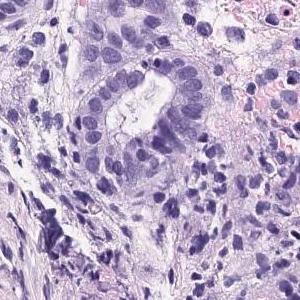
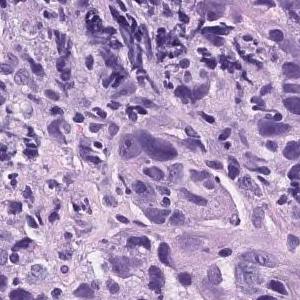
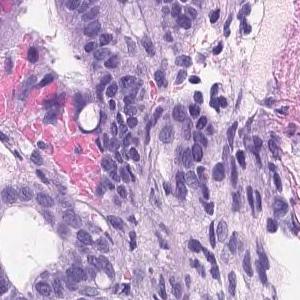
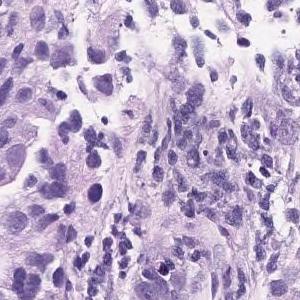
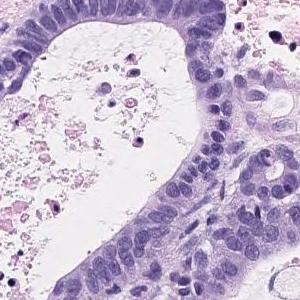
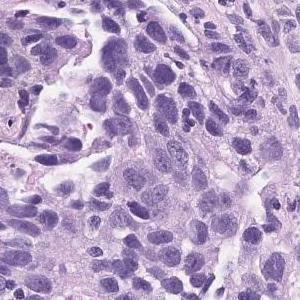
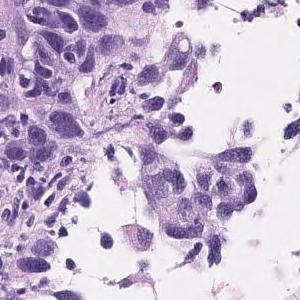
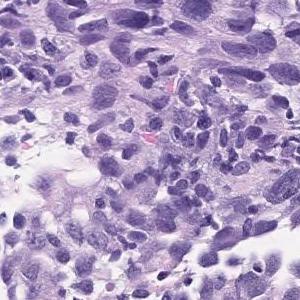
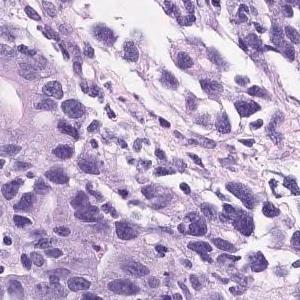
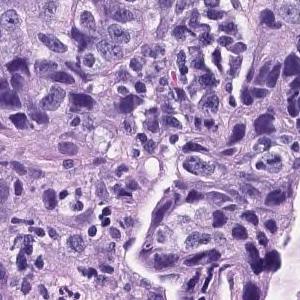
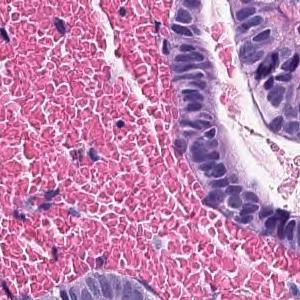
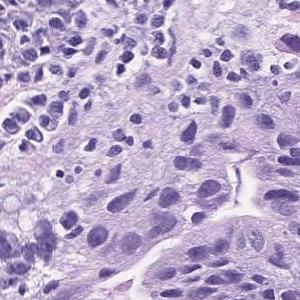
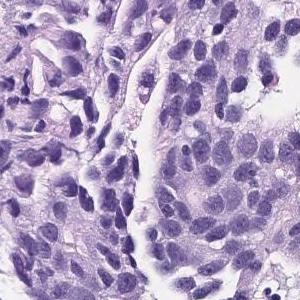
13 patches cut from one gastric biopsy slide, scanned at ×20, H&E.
Report on the slide these tiles come from. The report and the diagnosis cover the entire slide, so not every feature they name need be visible here, and some tissue shown may not be tumor.
The superficial epithelium shows a large sheet-like shape, and some tumor tissue infiltrates with small irregular ducts. Poorly differentiated adenocarcinoma, solid-type
Histological subtype: Poorly differentiated adenocarcinoma, solid type, a category of the Japanese Classification of Gastric Carcinoma; in the WHO 2019 classification it is tubular adenocarcinoma, poorly differentiated.
